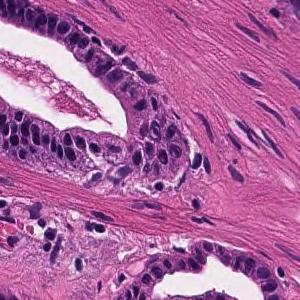
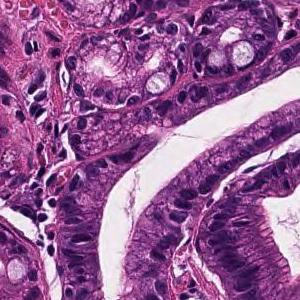
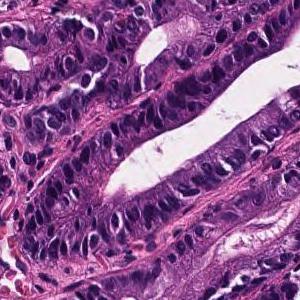
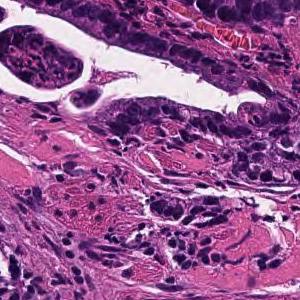
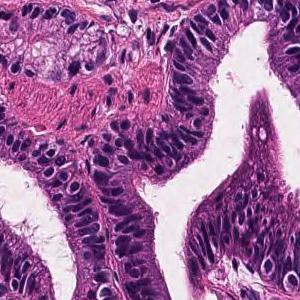
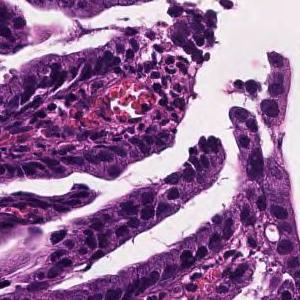
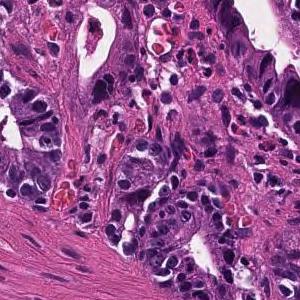
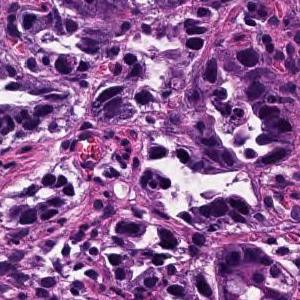
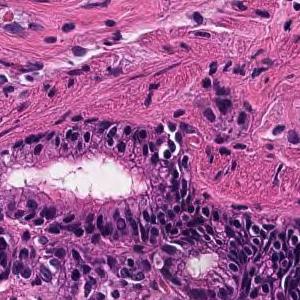
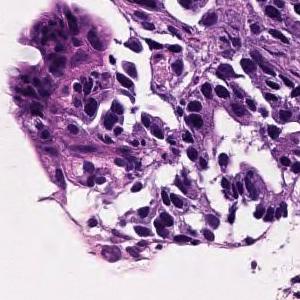
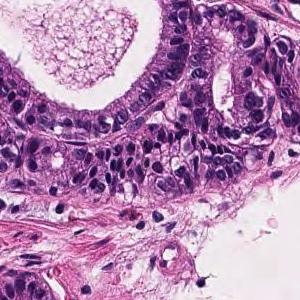
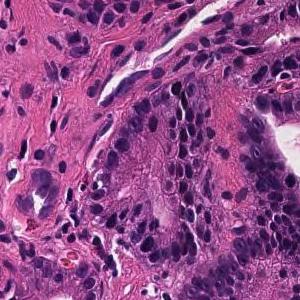
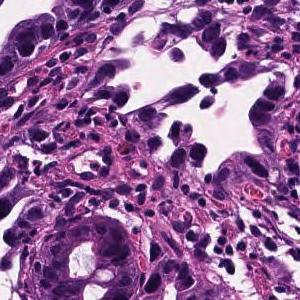
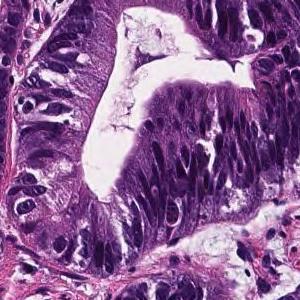
H&E stain, 14 tiles from the same stomach biopsy slide, 300 × 300 pixels each.
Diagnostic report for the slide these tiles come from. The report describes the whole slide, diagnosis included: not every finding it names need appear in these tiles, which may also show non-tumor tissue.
Tumor cells are large, highly columnar, large club-shaped nuclei, and are associated with chromatin aggregation. Papillary adenocarcinoma.
